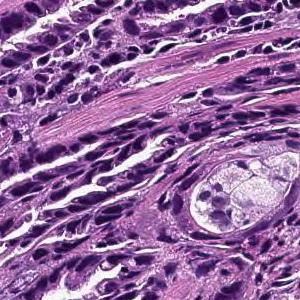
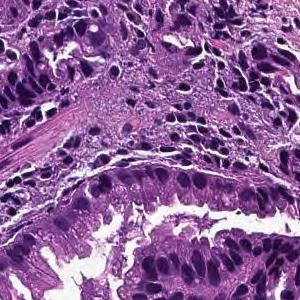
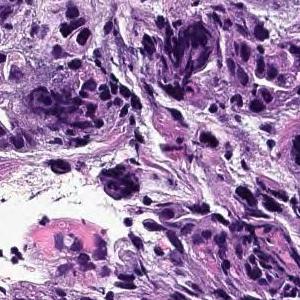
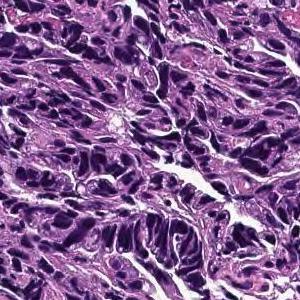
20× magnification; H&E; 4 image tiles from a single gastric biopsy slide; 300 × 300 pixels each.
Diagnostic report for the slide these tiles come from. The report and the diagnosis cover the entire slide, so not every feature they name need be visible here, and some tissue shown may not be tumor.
Tumor cells are large, highly columnar, large club-shaped nuclei, and are associated with chromatin aggregation. Papillary adenocarcinoma.
